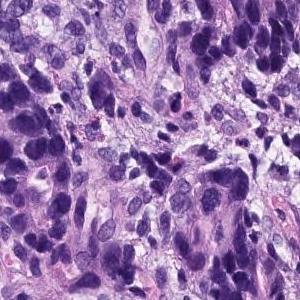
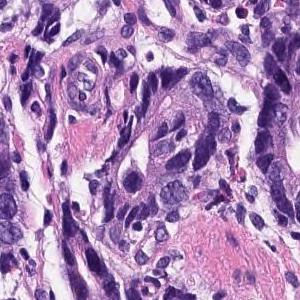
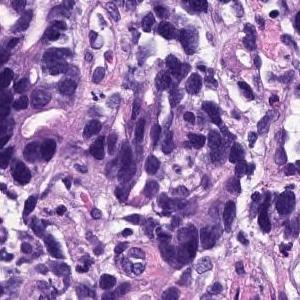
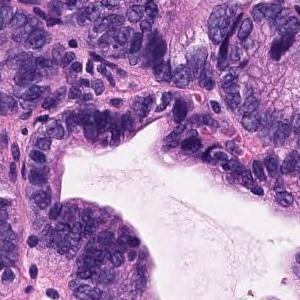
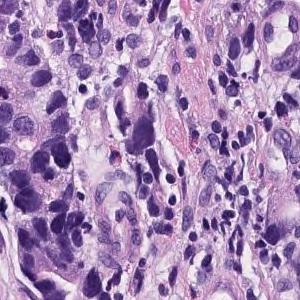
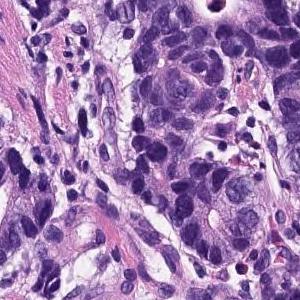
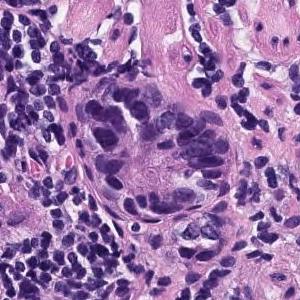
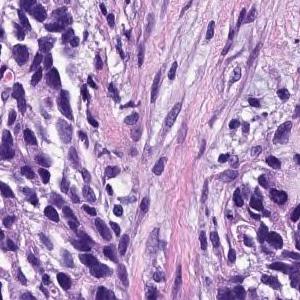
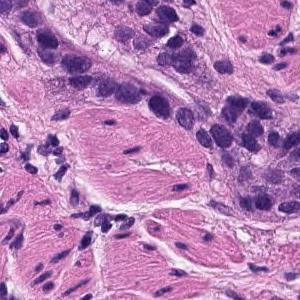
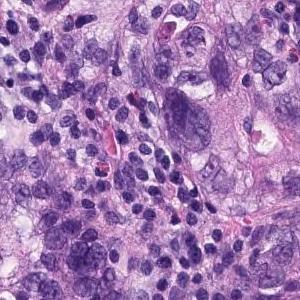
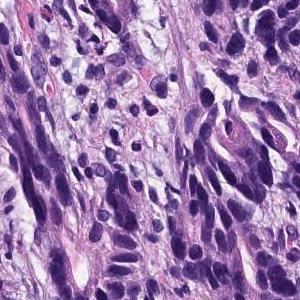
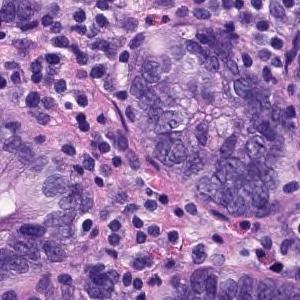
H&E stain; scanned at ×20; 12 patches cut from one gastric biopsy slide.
Pathology report for the slide these tiles were cut from. What the report and the diagnosis say applies to the whole slide; these tiles may miss some of the features named and may include tissue that is not tumor.
On the superficial epithelium, tumor tissue consisting of images showing invasive growth with small, irregular tubules partially fused is observed. moderately differentiated tubular adenocarcinoma
